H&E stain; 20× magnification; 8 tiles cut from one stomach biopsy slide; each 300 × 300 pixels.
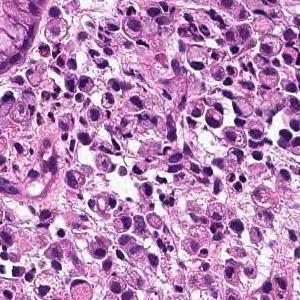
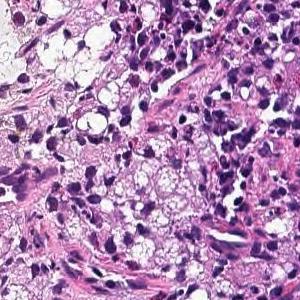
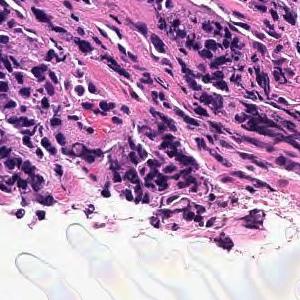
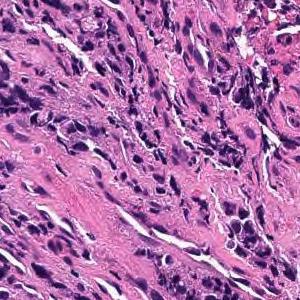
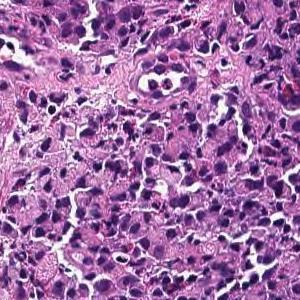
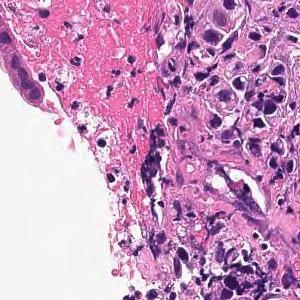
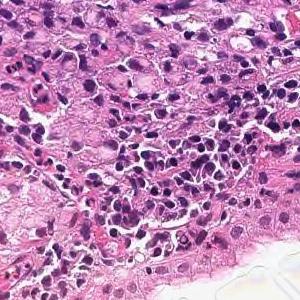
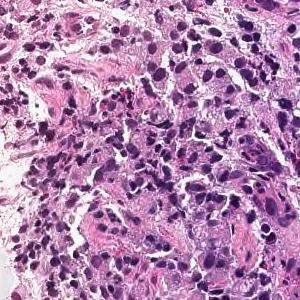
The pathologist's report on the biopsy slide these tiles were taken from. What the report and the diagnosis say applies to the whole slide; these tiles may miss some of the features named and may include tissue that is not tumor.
Tumor tissue consisting of diffusely infiltrated large atypical epithelial cells or signet ring atypical cells is observed in the superficial epithelium. Poorly differentiated adenocarcinoma, solid-type
Classified as poorly differentiated adenocarcinoma, solid type, a category of the Japanese Classification of Gastric Carcinoma; in the WHO 2019 classification it is tubular adenocarcinoma, poorly differentiated.
